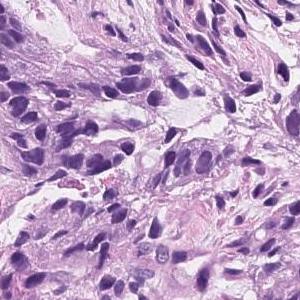
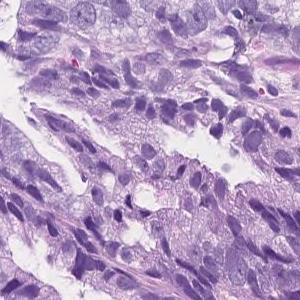
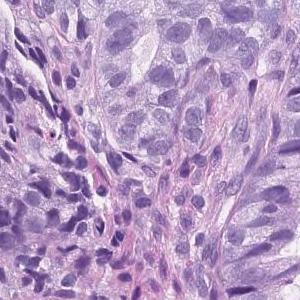
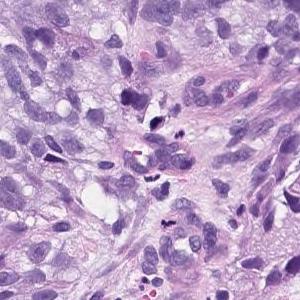
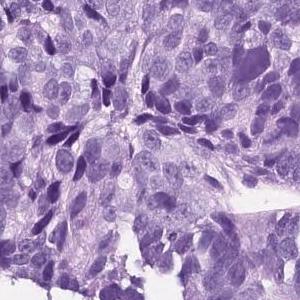
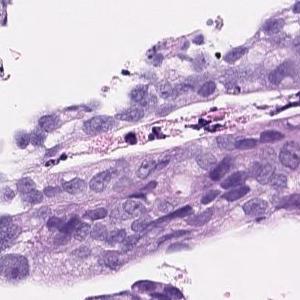
H&E, scanned at ×20, 6 tiles from the same stomach biopsy slide, each 300 × 300 pixels.
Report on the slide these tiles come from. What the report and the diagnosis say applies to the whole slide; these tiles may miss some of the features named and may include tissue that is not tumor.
On the superficial epithelium, tumor tissue consisting of an image of large, irregular glandular ducts partially fused and infiltrated is observed. Well to moderately differentiated tubular adenocarcinoma
